14 image tiles from a single gastric biopsy slide, H&E, ×20.
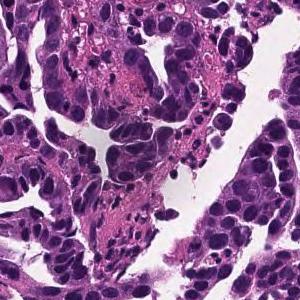
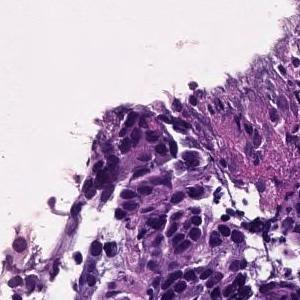
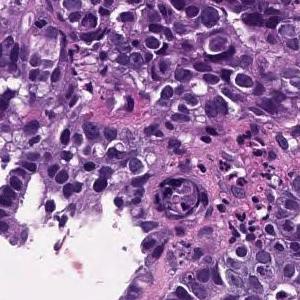
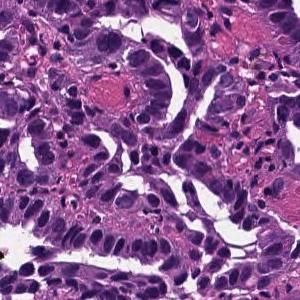
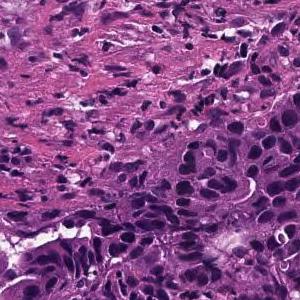
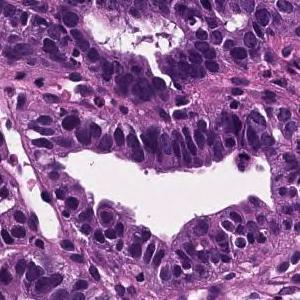
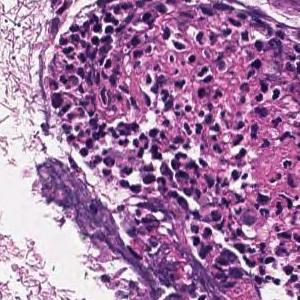
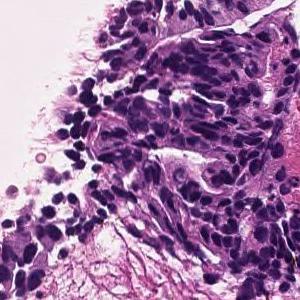
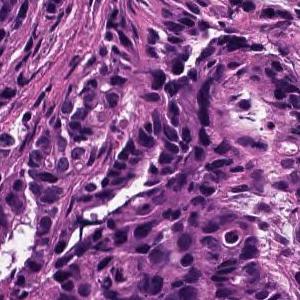
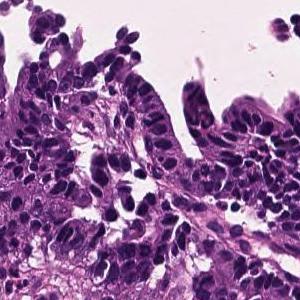
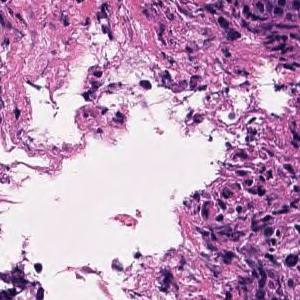
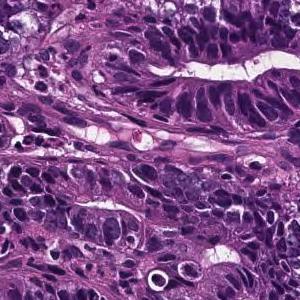
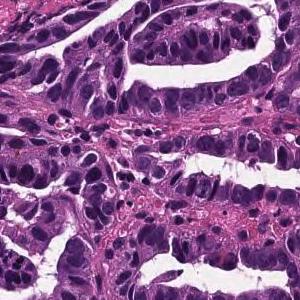
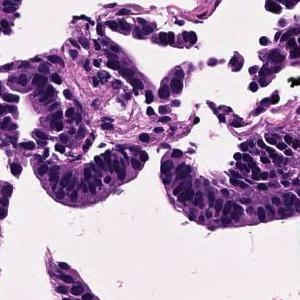
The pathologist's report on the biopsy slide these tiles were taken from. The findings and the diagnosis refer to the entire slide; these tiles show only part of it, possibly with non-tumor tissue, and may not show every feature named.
Tumor cells are large, highly columnar, large club-shaped nuclei, and are associated with chromatin aggregation. Papillary adenocarcinoma.
